11 tiles from the same stomach biopsy slide; each 300 × 300 pixels; ×20.
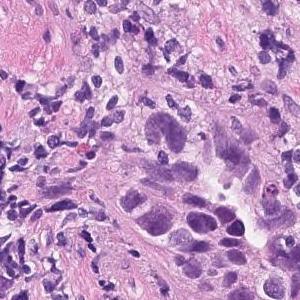
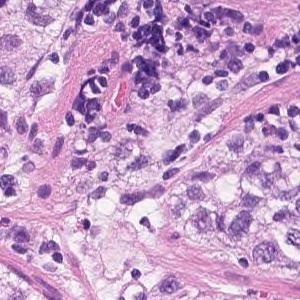
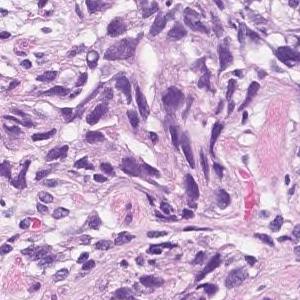
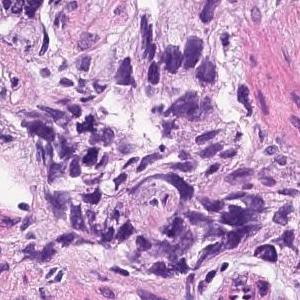
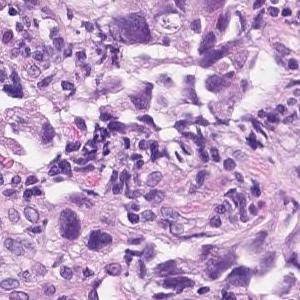
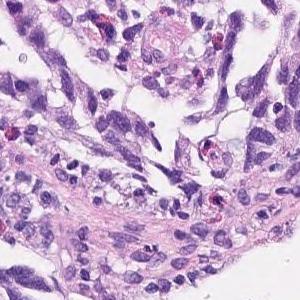
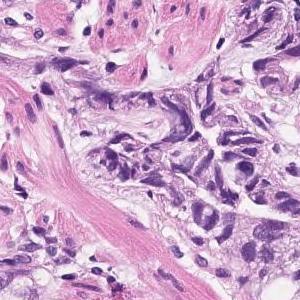
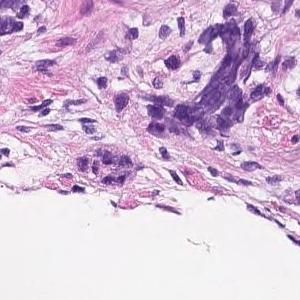
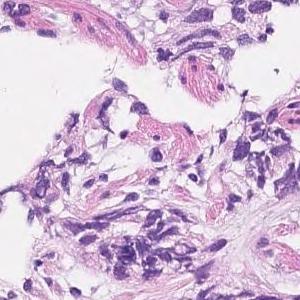
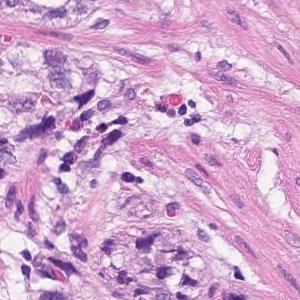
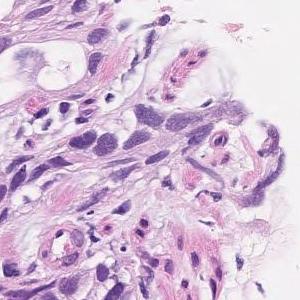
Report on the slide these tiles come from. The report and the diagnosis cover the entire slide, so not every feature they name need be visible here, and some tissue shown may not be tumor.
In the superficial epithelium, tumor tissue that invades by forming medium-sized to small, irregular ducts is observed. Moderately differentiated adenocarcinoma.
Subtype: Moderately differentiated tubular adenocarcinoma.
